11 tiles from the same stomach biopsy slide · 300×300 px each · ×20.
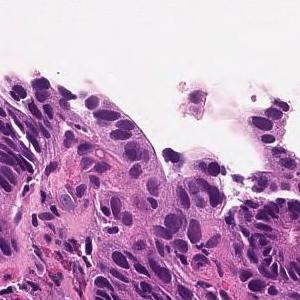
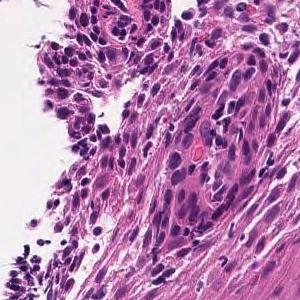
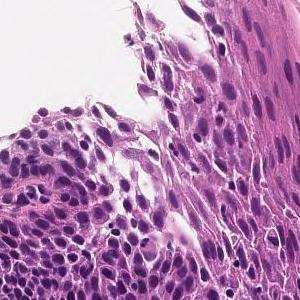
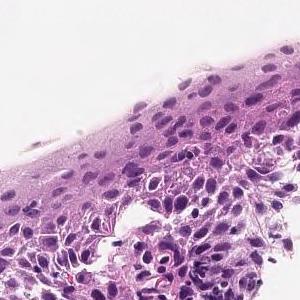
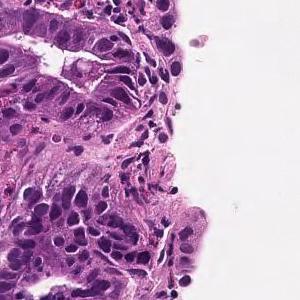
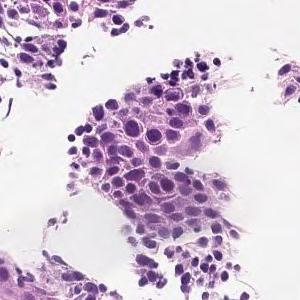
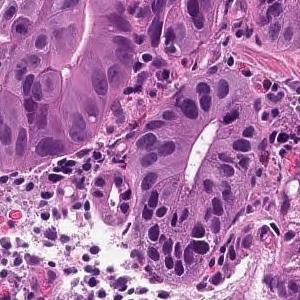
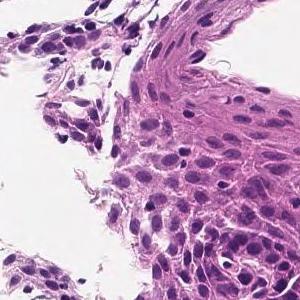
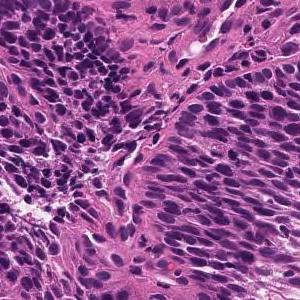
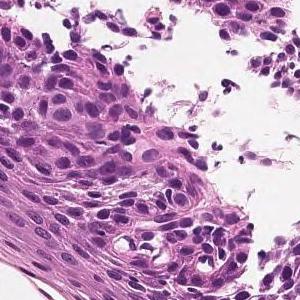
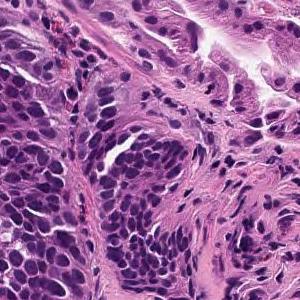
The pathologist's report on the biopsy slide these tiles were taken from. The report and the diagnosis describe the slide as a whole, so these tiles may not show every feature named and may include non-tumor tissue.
On the superficial epithelium, tumor tissue is found in which medium-sized irregular gland ducts fuse with each other and infiltrate. moderately differentiated tubular adenocarcinoma
